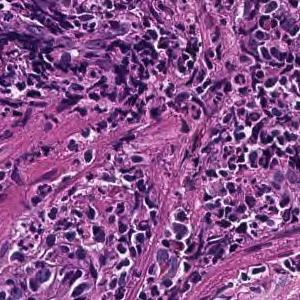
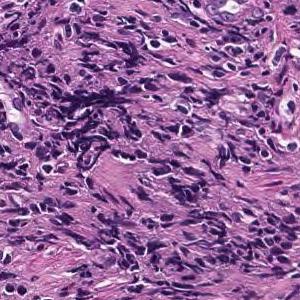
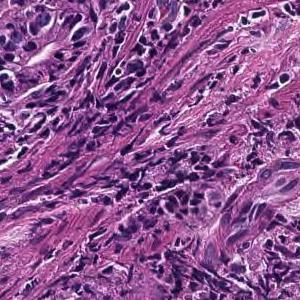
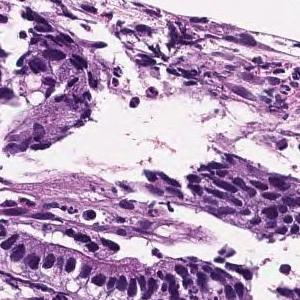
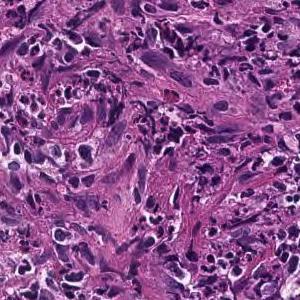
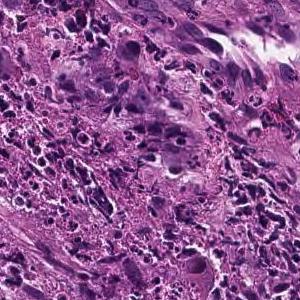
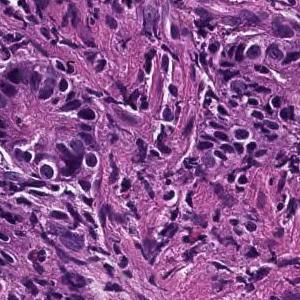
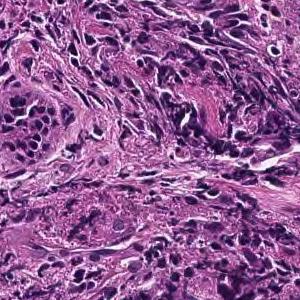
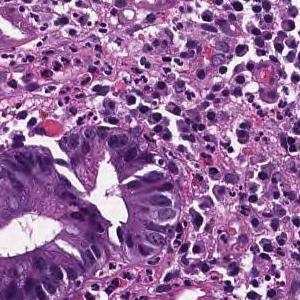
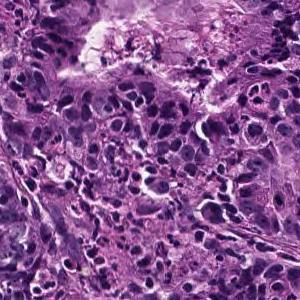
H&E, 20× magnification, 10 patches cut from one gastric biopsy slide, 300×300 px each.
The pathologist's report on the biopsy slide these tiles were taken from. The findings and the diagnosis refer to the entire slide; these tiles show only part of it, possibly with non-tumor tissue, and may not show every feature named.
On the superficial epithelium, tumor tissue consisting of large, irregular glandular ducts partially fused and infiltrated is observed. Well to moderately differentiated tubular adenocarcinoma (well differentiated tubular adenocarcinoma, moderately differentiated tubular adenocarcinoma)
Tumor subtype: well to moderately differentiated tubular adenocarcinoma.
